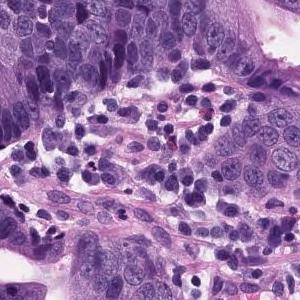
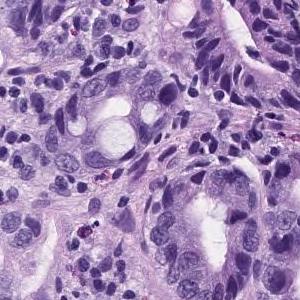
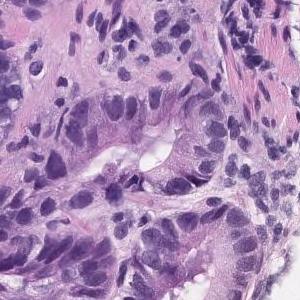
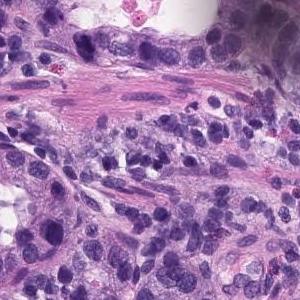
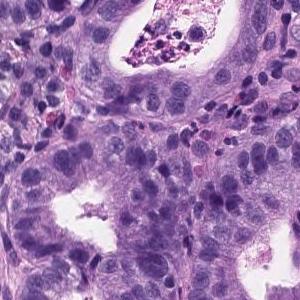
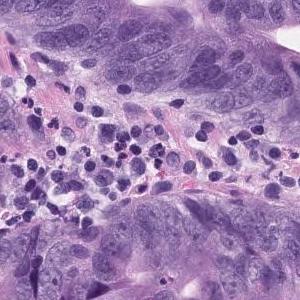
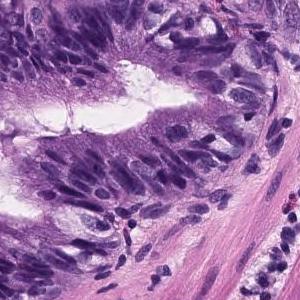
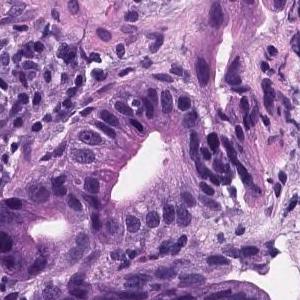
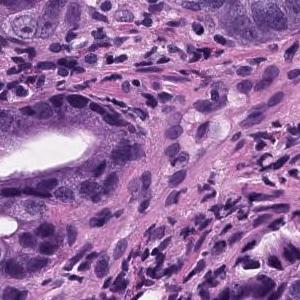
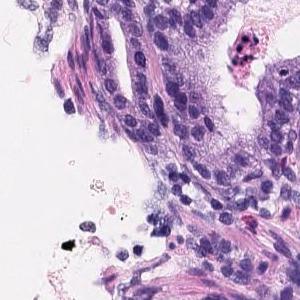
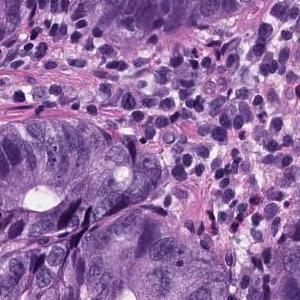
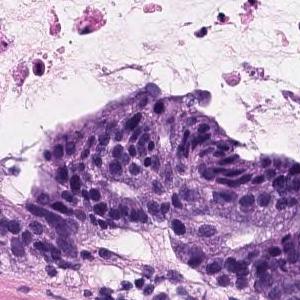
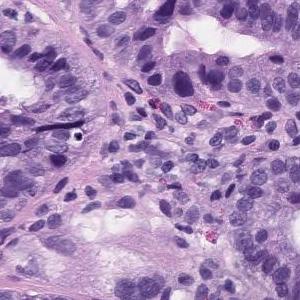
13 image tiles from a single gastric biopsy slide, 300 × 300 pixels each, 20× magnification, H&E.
Diagnostic report for the slide these tiles come from. The report and the diagnosis describe the slide as a whole, so these tiles may not show every feature named and may include non-tumor tissue.
Tumor tissue consisting of medium-sized and irregular ducts is observed infiltrating in the superficial epithelium. Tumor cells are highly columnar, with nuclei aligned basolaterally and polarized. Well differentiated tubular adenocarcinoma.
